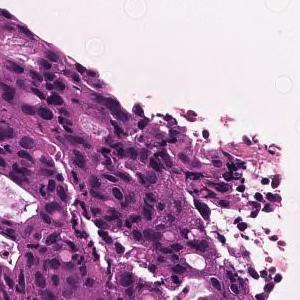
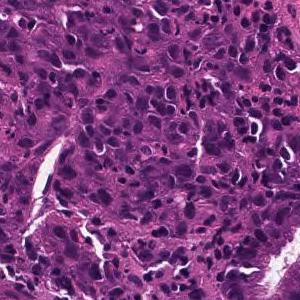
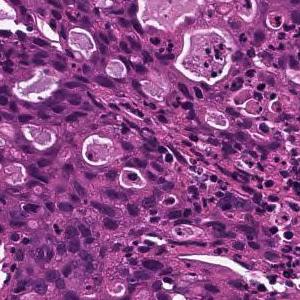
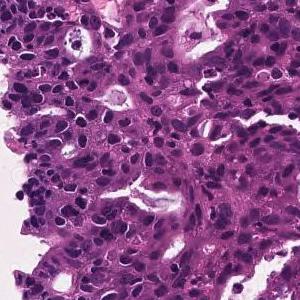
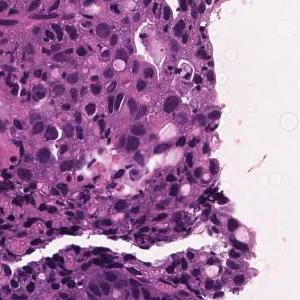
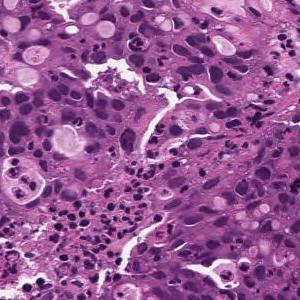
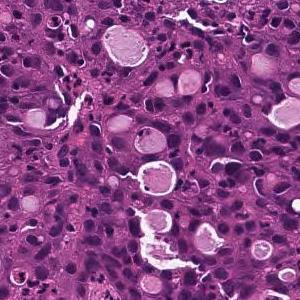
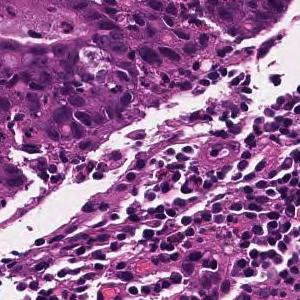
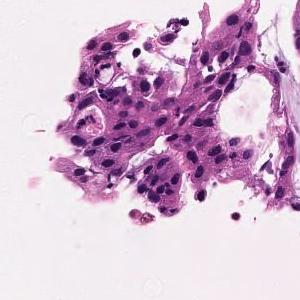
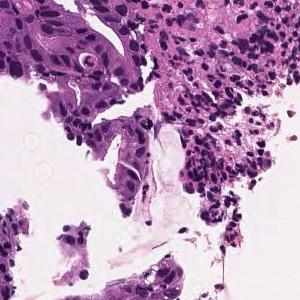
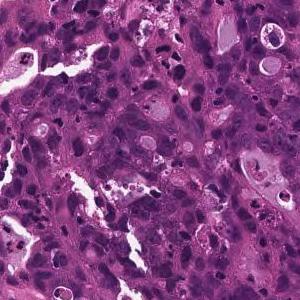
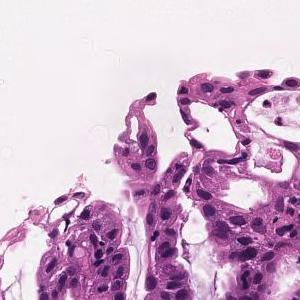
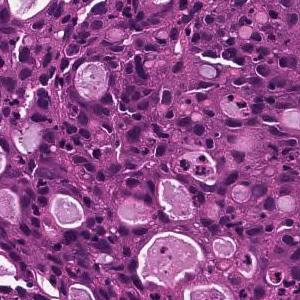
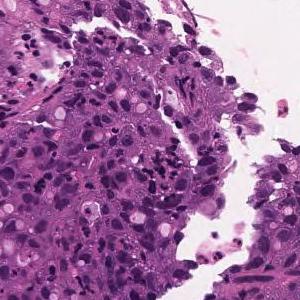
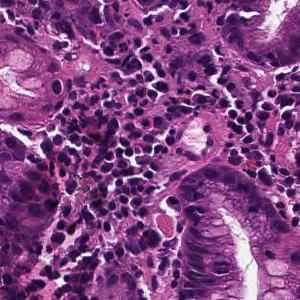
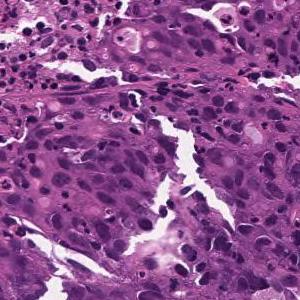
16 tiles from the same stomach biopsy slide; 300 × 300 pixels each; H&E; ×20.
Pathology report for the biopsy slide these tiles were cut from. Both the report and the diagnosis are for the whole slide: these tiles need not show every feature named, and some of the tissue shown may not be tumor.
Cells with atypical nuclei are densely hyperplasia while forming sieve-like ducts of various sizes. moderately differentiated tubular adenocarcinoma
